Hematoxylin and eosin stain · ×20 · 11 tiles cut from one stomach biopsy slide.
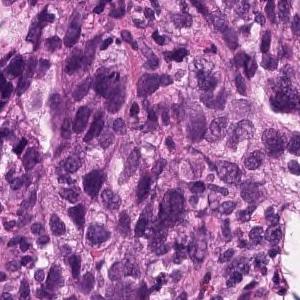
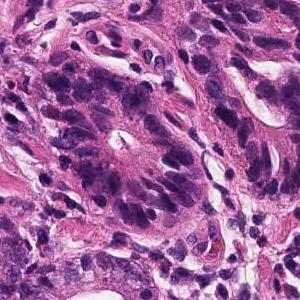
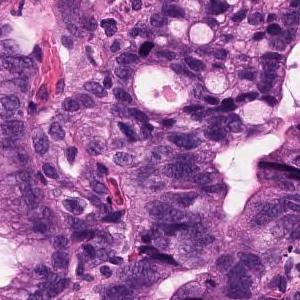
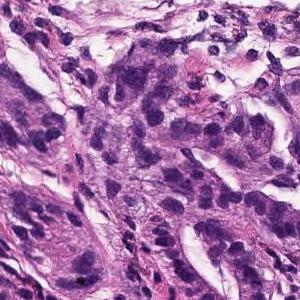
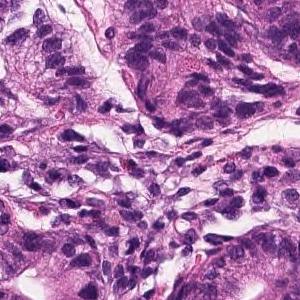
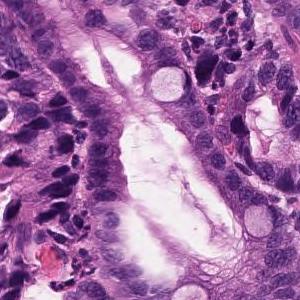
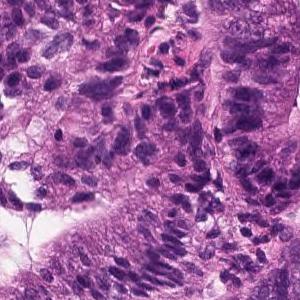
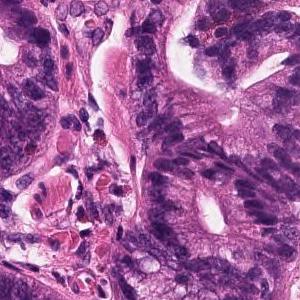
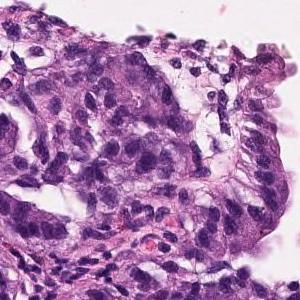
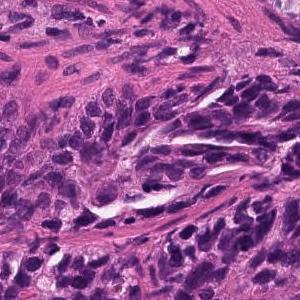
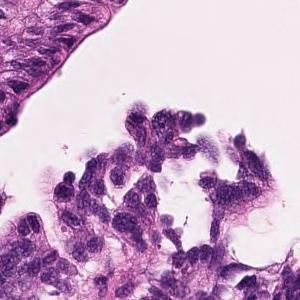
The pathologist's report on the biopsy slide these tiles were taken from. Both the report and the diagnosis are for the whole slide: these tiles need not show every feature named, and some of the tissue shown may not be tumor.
In the superficial epithelium, tumor tissue that invades by forming medium-sized to small, irregular ducts is observed. Moderately differentiated adenocarcinoma.
Tumor subtype: moderately differentiated tubular adenocarcinoma.
